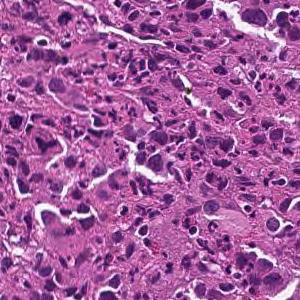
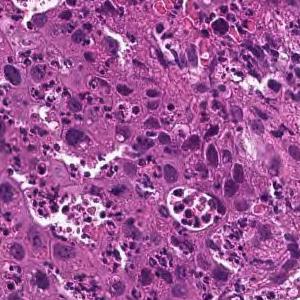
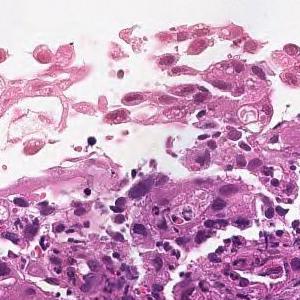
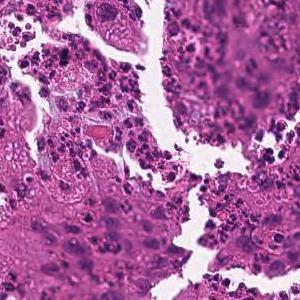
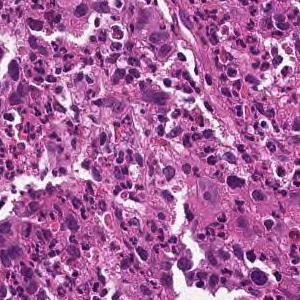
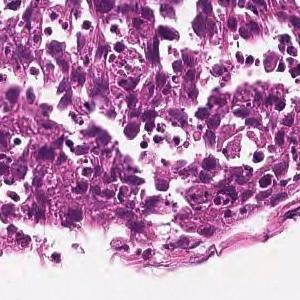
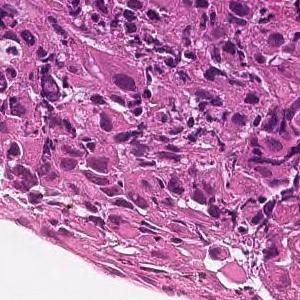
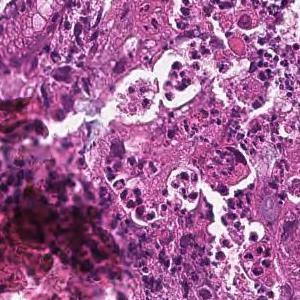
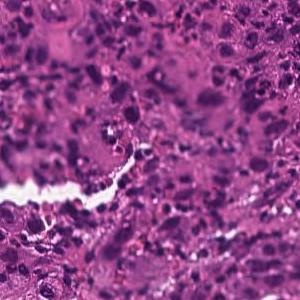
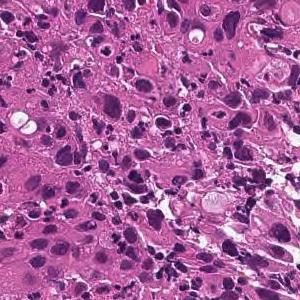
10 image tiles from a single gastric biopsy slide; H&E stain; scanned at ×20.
Pathology report for the biopsy slide these tiles were cut from. The report and the diagnosis describe the slide as a whole, so these tiles may not show every feature named and may include non-tumor tissue.
The superficial epithelium shows a large sheet-like shape, and some tumor tissue infiltrates with small irregular ducts. Poorly differentiated adenocarcinoma, solid-type
Subtype: Poorly differentiated adenocarcinoma, solid type (Japanese Classification of Gastric Carcinoma). The WHO 2019 equivalent is tubular adenocarcinoma, poorly differentiated.
